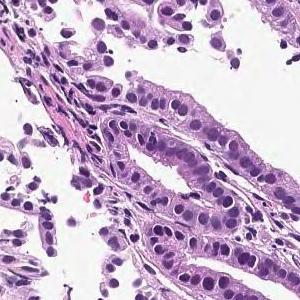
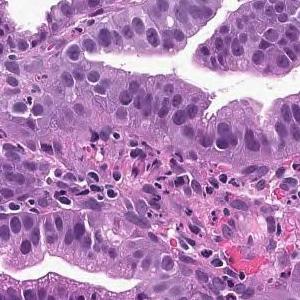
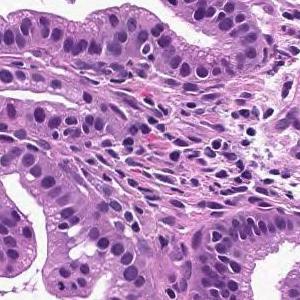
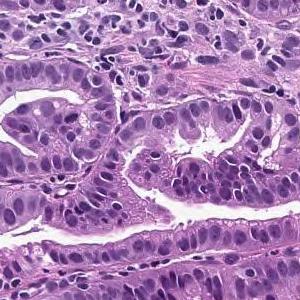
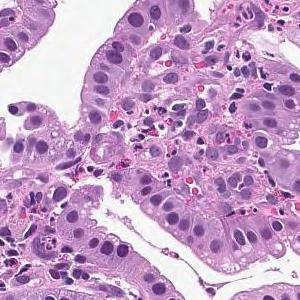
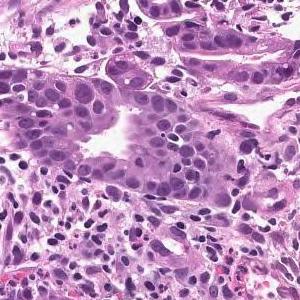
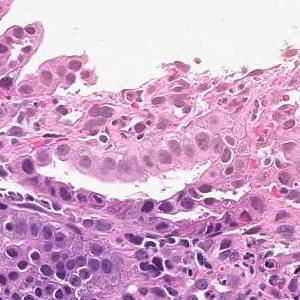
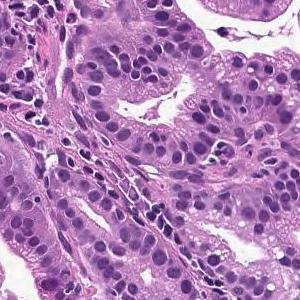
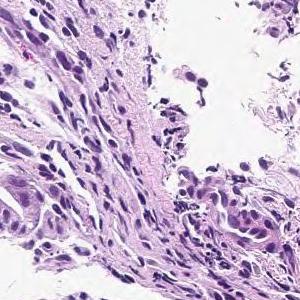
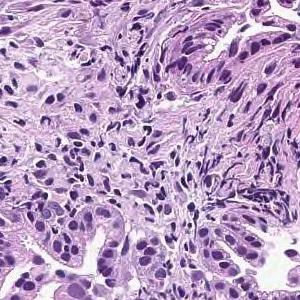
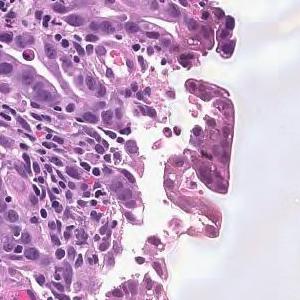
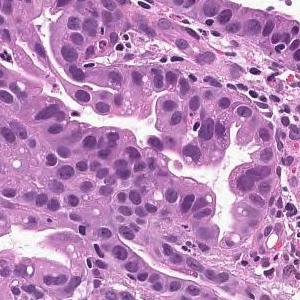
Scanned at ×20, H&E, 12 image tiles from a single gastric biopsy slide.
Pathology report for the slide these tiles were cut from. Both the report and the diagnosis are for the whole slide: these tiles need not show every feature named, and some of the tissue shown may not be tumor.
On the superficial epithelium, tumor tissue that infiltrates by forming medium-sized papillary or small irregular ducts is observed. Papillary adenocarcinoma
